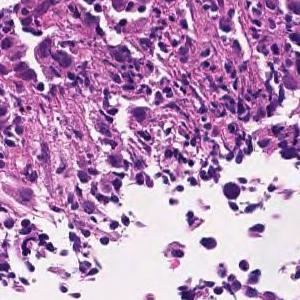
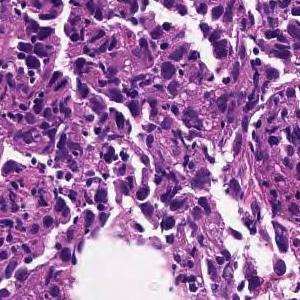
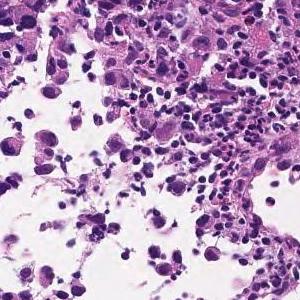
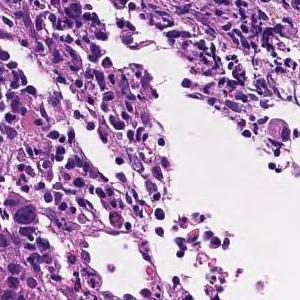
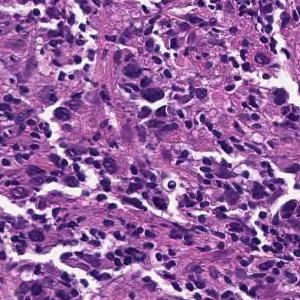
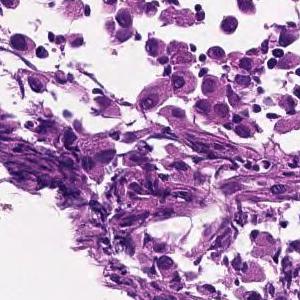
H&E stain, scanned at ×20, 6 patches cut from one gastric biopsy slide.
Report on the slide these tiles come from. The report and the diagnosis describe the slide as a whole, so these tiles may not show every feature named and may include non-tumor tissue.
The superficial epithelium shows a large sheet-like shape, and some tumor tissue infiltrates with small irregular ducts. Poorly differentiated adenocarcinoma, solid-type (poorly differentiated adenocarcinoma, solid type)
Tumor subtype: poorly differentiated adenocarcinoma, solid type, a category of the Japanese Classification of Gastric Carcinoma; in the WHO 2019 classification it is tubular adenocarcinoma, poorly differentiated.
